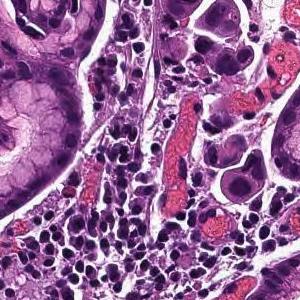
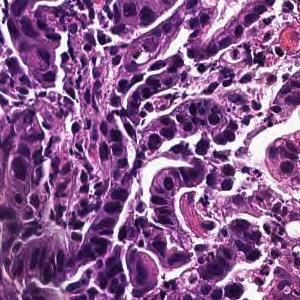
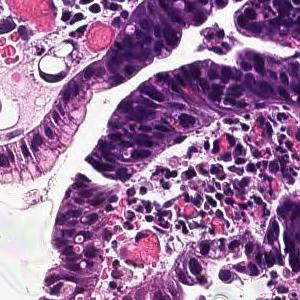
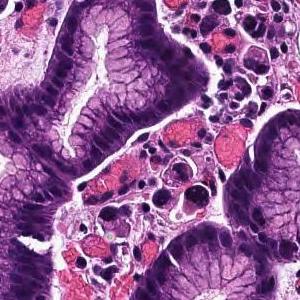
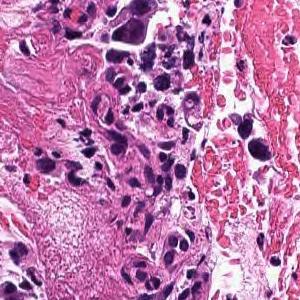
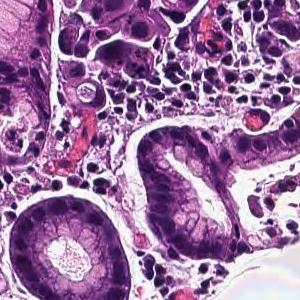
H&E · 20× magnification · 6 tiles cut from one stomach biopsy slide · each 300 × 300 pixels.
Diagnostic report for the slide these tiles come from. The report and the diagnosis cover the entire slide, so not every feature they name need be visible here, and some tissue shown may not be tumor.
Tumor tissue consisting of medium-sized, cord-like or irregular glandular infiltration is observed in the superficial epithelium. Poorly differentiated adenocarcinoma, non-solid type or moderately differentiated tubular adenocarcinoma
Tumor subtype: moderately to poorly differentiated adenocarcinoma.
"Non-solid type" is a category of the Japanese Classification of Gastric Carcinoma.
